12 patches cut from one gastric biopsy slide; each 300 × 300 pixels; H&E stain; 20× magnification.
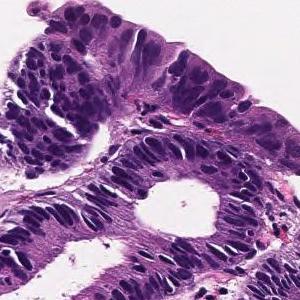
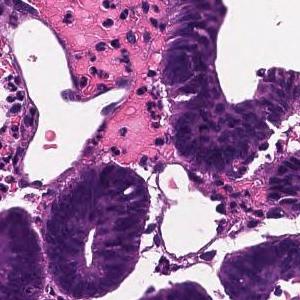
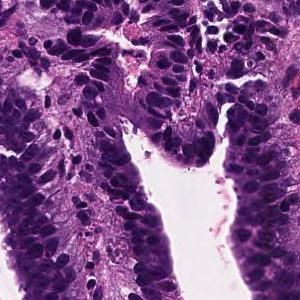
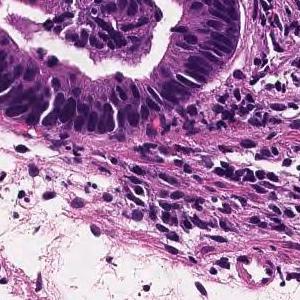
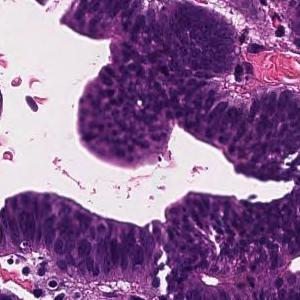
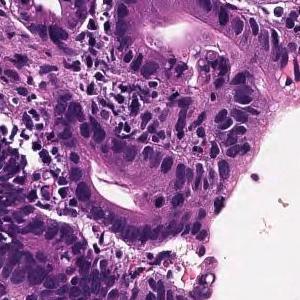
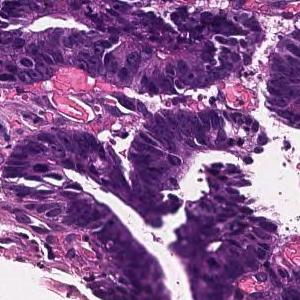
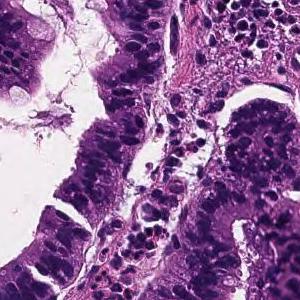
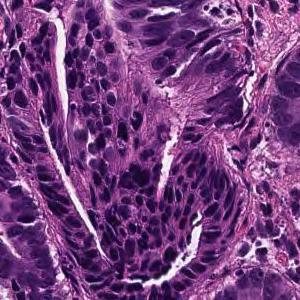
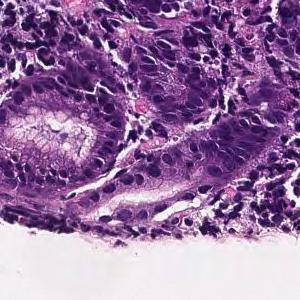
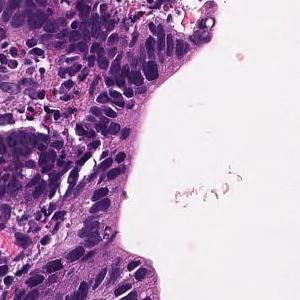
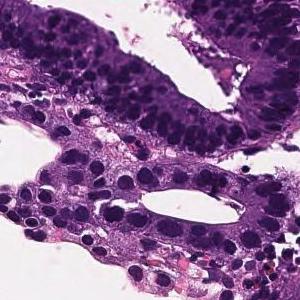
The pathologist's report on the biopsy slide these tiles were taken from. The report and the diagnosis describe the slide as a whole, so these tiles may not show every feature named and may include non-tumor tissue.
Tumor tissue consisting of large papillary structures is found in the superficial epithelium. Papillary adenocarcinoma.
